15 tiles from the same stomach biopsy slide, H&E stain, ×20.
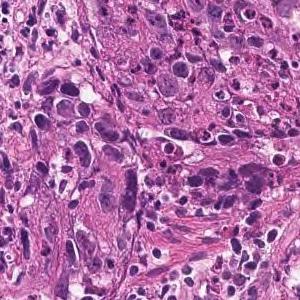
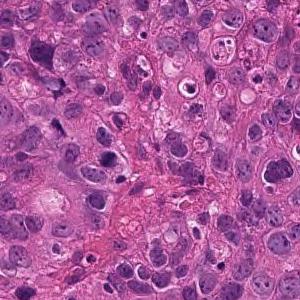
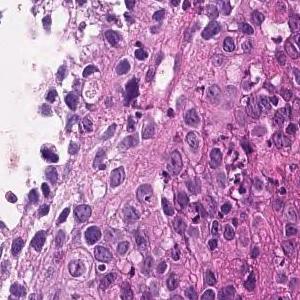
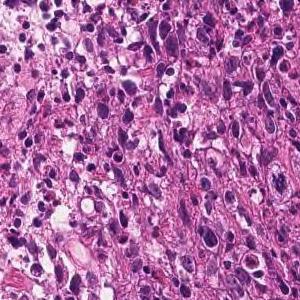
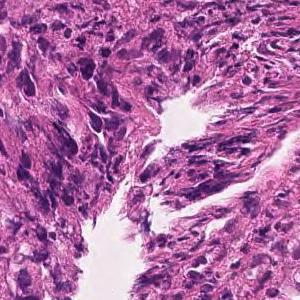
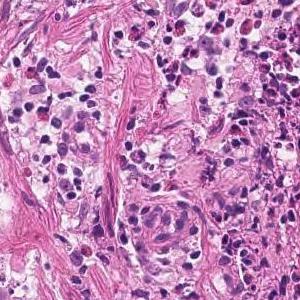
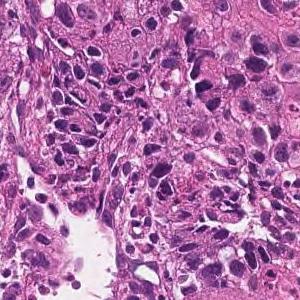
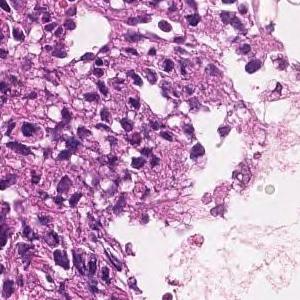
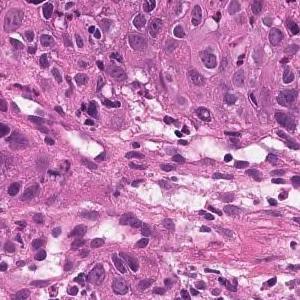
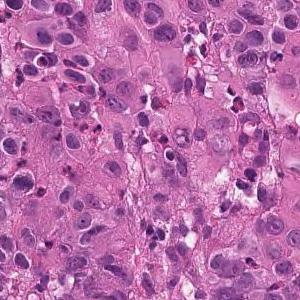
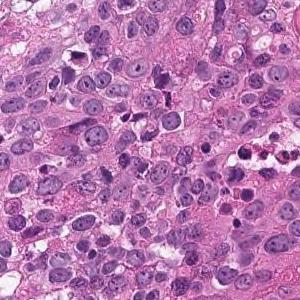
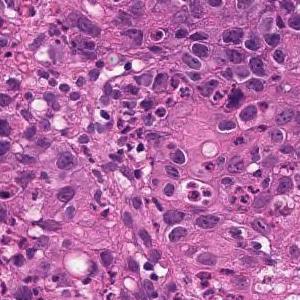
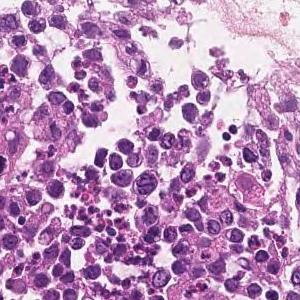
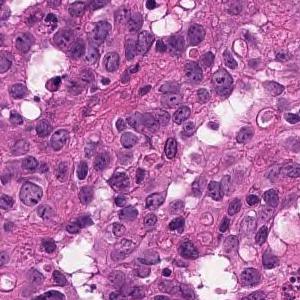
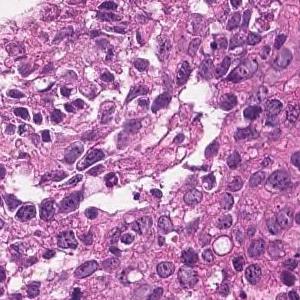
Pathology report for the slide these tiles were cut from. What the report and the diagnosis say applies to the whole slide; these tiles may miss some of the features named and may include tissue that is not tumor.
The superficial epithelium shows a large sheet-like shape, and some tumor tissue infiltrates with small irregular ducts. Poorly differentiated adenocarcinoma, solid-type
Subtype: Poorly differentiated adenocarcinoma, solid type (Japanese Classification of Gastric Carcinoma). The WHO 2019 equivalent is tubular adenocarcinoma, poorly differentiated.
